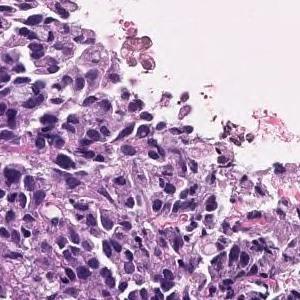
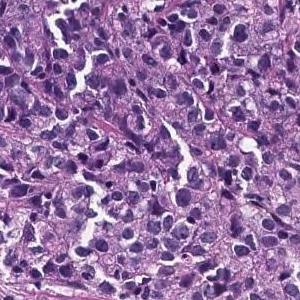
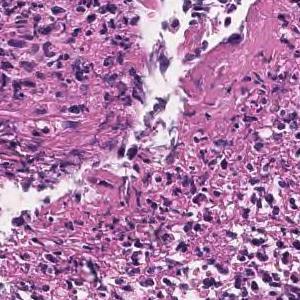
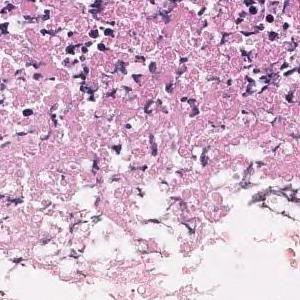
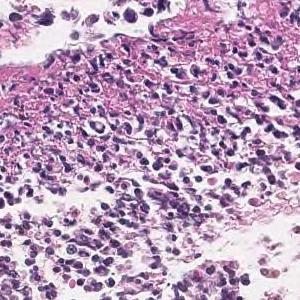
5 image tiles from a single gastric biopsy slide, each 300 × 300 pixels, hematoxylin and eosin stain, 20× magnification.
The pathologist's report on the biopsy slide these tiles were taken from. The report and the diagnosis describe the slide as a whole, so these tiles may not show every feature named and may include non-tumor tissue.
The superficial epithelium shows a large sheet-like shape, and some tumor tissue infiltrates with small irregular ducts. Poorly differentiated adenocarcinoma, solid-type
Histologic type: Poorly differentiated adenocarcinoma, solid type. This name comes from the Japanese Classification of Gastric Carcinoma; the WHO 2019 classification calls it tubular adenocarcinoma, poorly differentiated.
